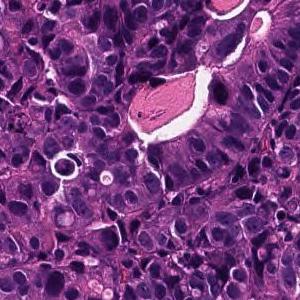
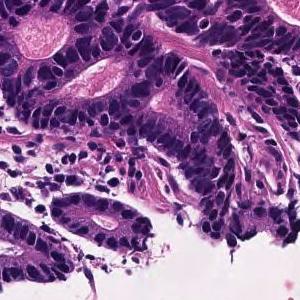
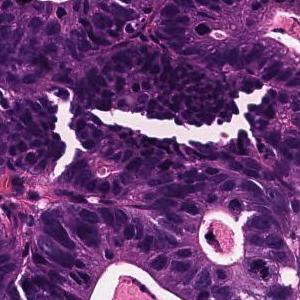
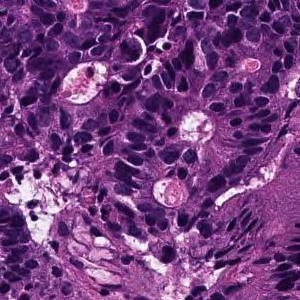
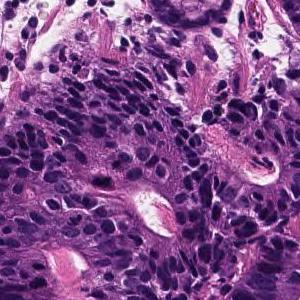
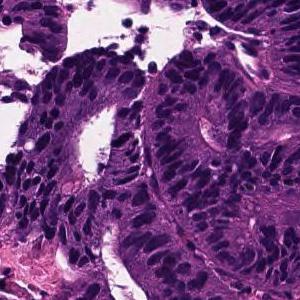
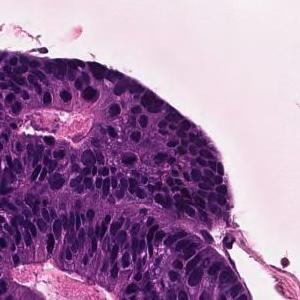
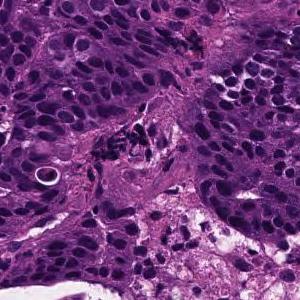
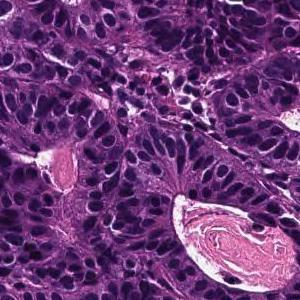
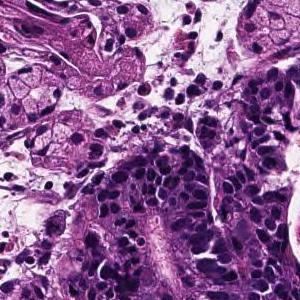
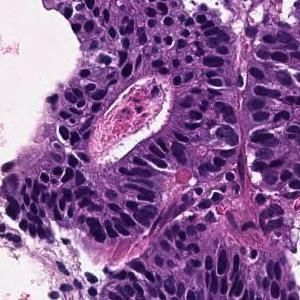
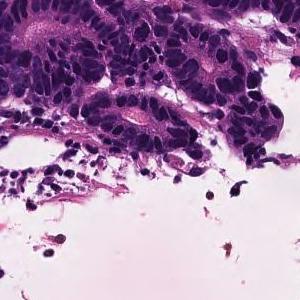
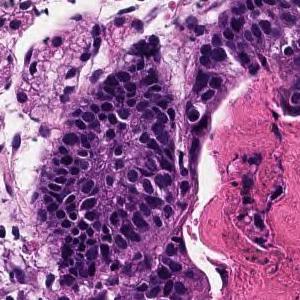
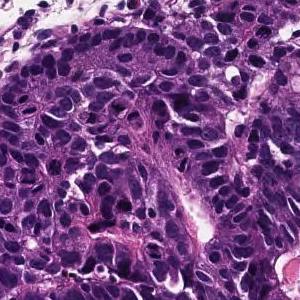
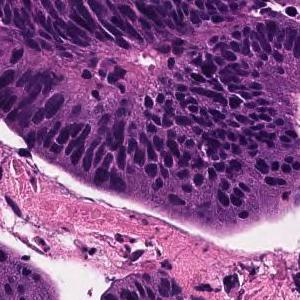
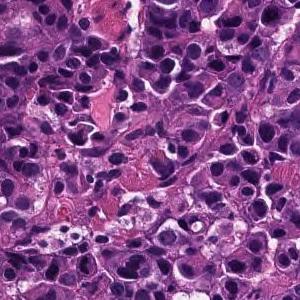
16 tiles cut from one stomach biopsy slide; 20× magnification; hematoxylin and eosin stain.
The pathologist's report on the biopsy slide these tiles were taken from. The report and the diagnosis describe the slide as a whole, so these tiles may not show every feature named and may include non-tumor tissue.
In the superficial epithelium, tumor tissue that invades by forming medium-sized to small, irregular ducts is observed. moderately differentiated tubular adenocarcinoma.
